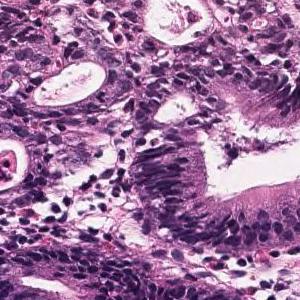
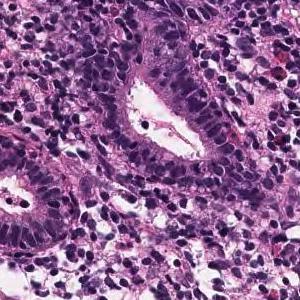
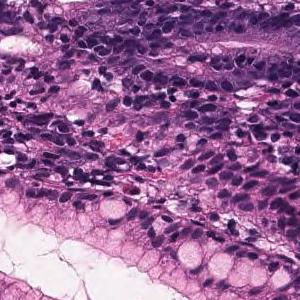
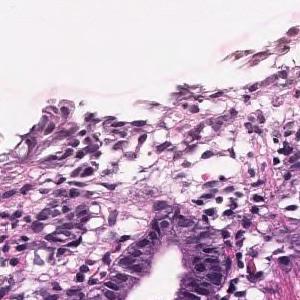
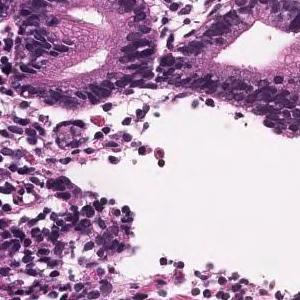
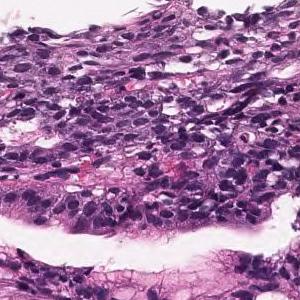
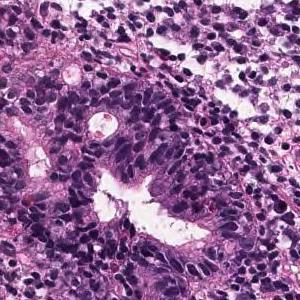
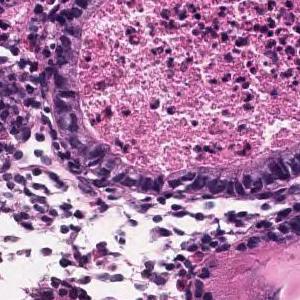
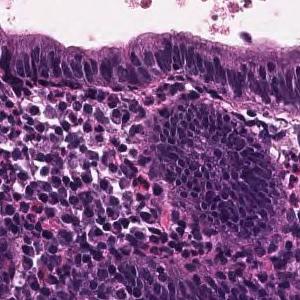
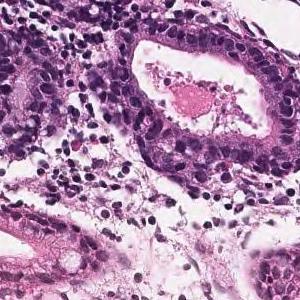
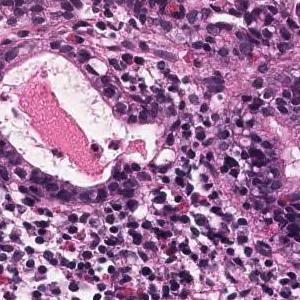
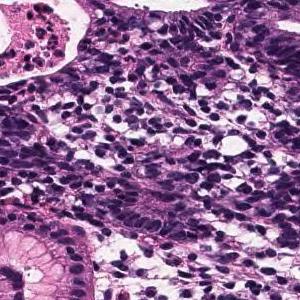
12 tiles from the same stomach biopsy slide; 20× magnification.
Pathology report for the biopsy slide these tiles were cut from. The report describes the whole slide, diagnosis included: not every finding it names need appear in these tiles, which may also show non-tumor tissue.
Atypical epithelium with swelling of the nucleus and pseudostratified shows tumor tissue that grows with irregular branching. Well differentiated tubular adenocarcinoma
